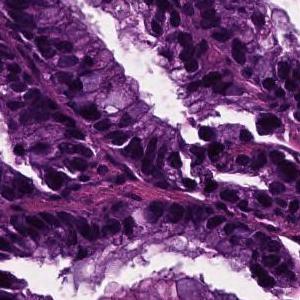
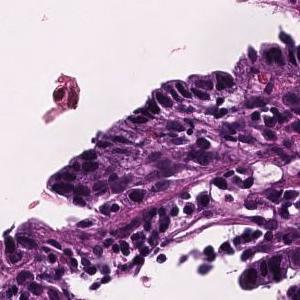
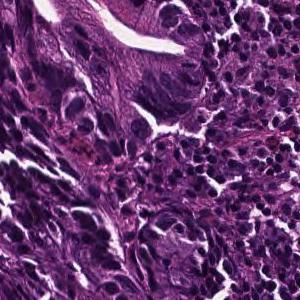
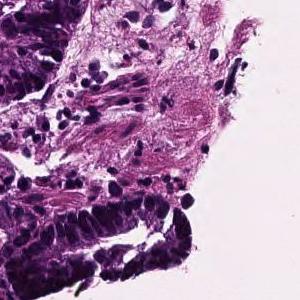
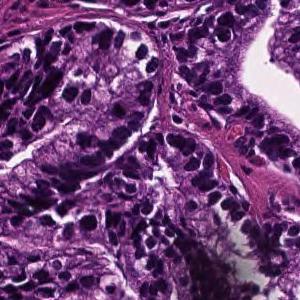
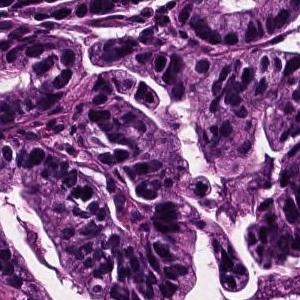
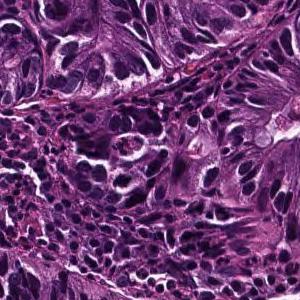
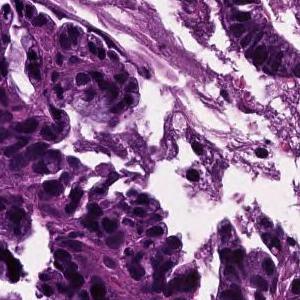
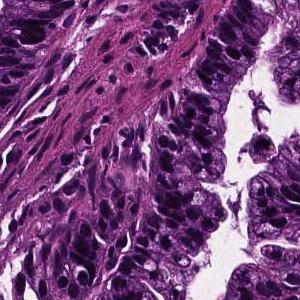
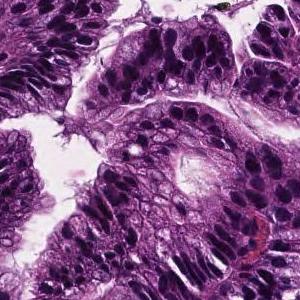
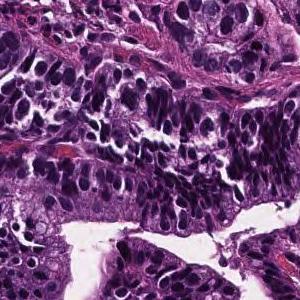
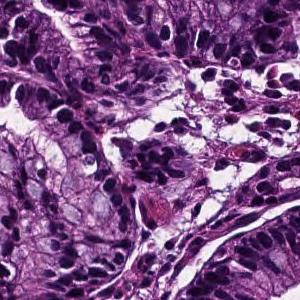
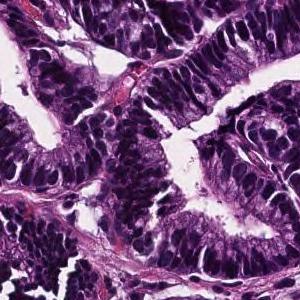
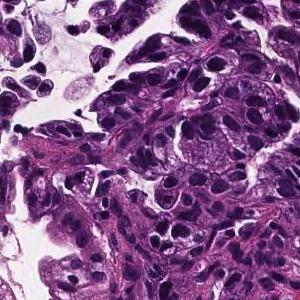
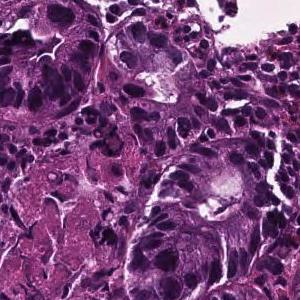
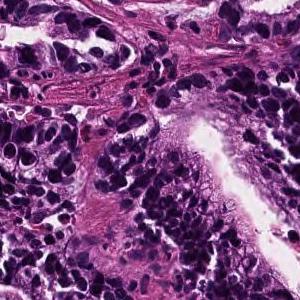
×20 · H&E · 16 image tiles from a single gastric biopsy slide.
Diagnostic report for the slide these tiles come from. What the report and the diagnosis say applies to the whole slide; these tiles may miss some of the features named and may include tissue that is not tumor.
In the superficial epithelium, tumor tissue that invades by forming medium-sized to small, irregular ducts is observed. Well differentiated tubular adenocarcinoma.
